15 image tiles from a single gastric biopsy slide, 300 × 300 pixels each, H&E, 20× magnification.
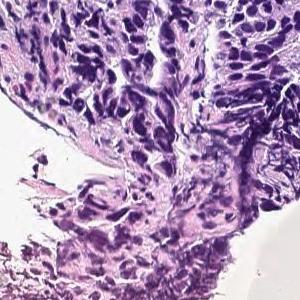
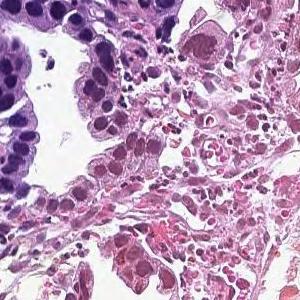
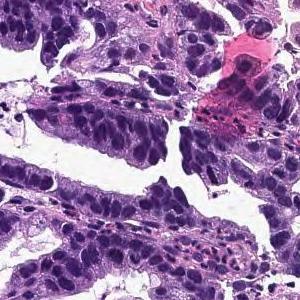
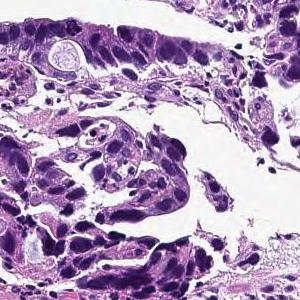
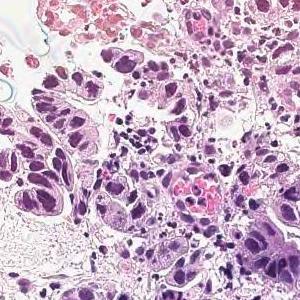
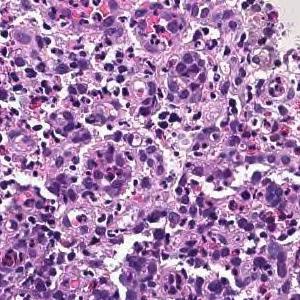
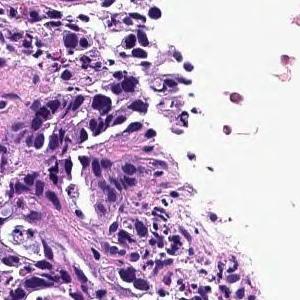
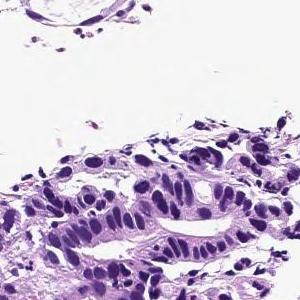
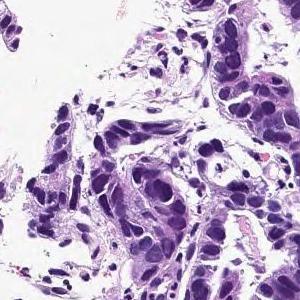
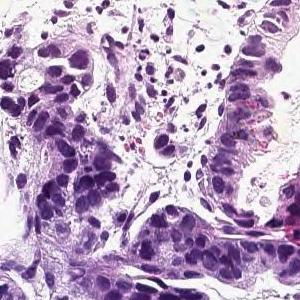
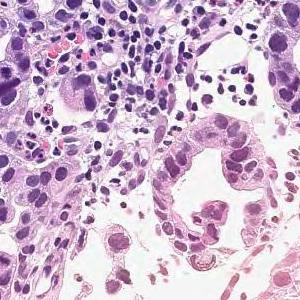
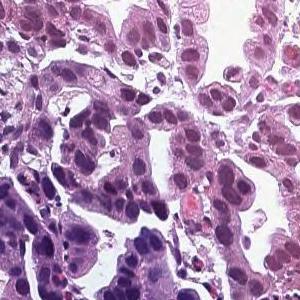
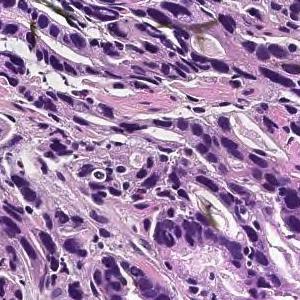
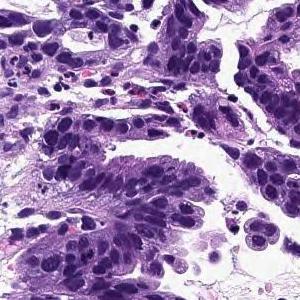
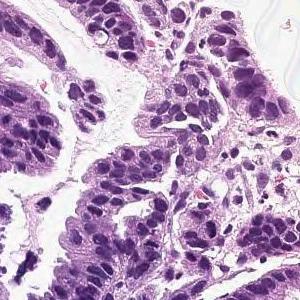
Diagnostic report for the slide these tiles come from. The report and the diagnosis cover the entire slide, so not every feature they name need be visible here, and some tissue shown may not be tumor.
On the superficial epithelium, tumor tissue consisting of large irregular glandular ducts partially fused and infiltrated is observed. Well to moderately differentiated tubular adenocarcinoma (well differentiated tubular adenocarcinoma, moderately differentiated tubular adenocarcinoma)
Histologic type: Well to moderately differentiated tubular adenocarcinoma.
